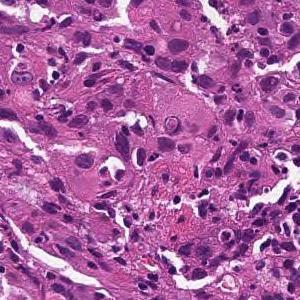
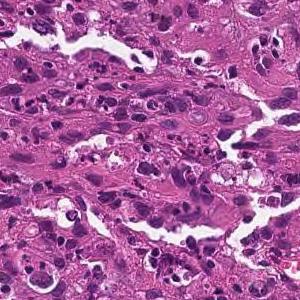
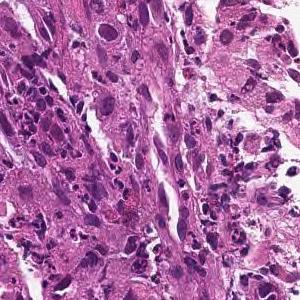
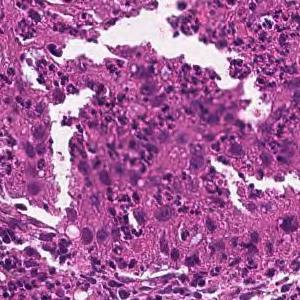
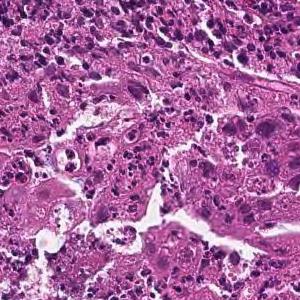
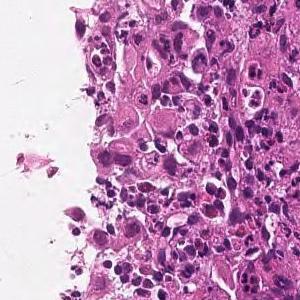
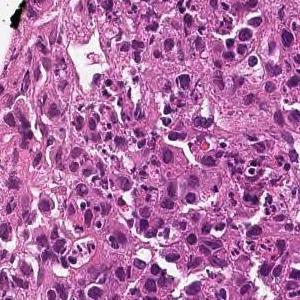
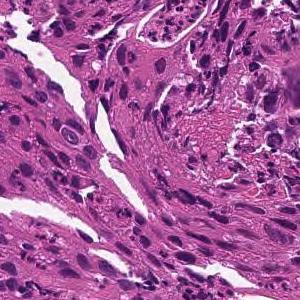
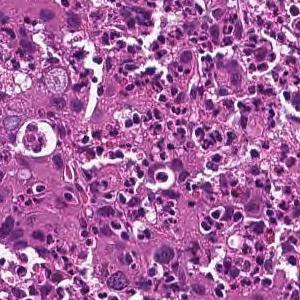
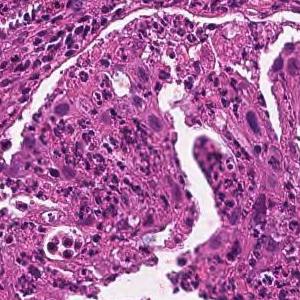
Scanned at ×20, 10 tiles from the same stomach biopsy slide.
Pathology report for the slide these tiles were cut from. The report and the diagnosis describe the slide as a whole, so these tiles may not show every feature named and may include non-tumor tissue.
The superficial epithelium shows a large sheet-like shape, and some tumor tissue infiltrates with small irregular ducts. Poorly differentiated adenocarcinoma, solid-type
Subtype: Poorly differentiated adenocarcinoma, solid type, a category of the Japanese Classification of Gastric Carcinoma; in the WHO 2019 classification it is tubular adenocarcinoma, poorly differentiated.
